H&E stain, 14 image tiles from a single gastric biopsy slide, 300 × 300 pixels each.
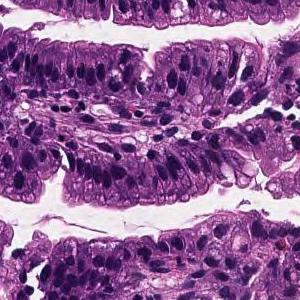
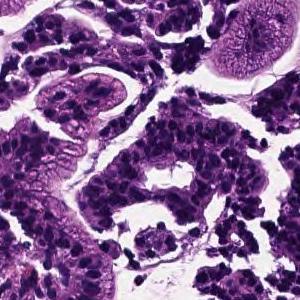
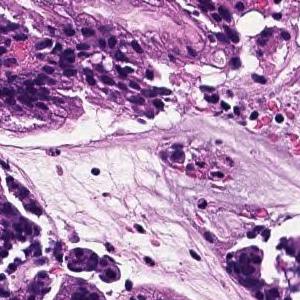
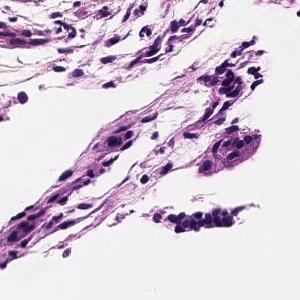
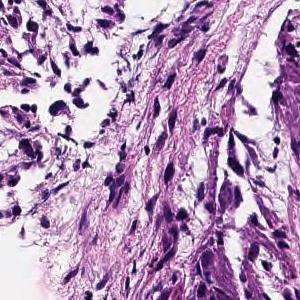
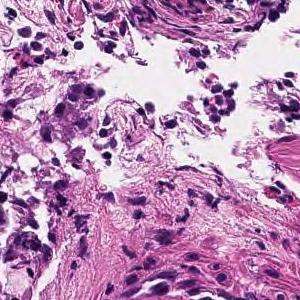
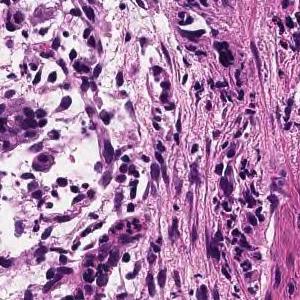
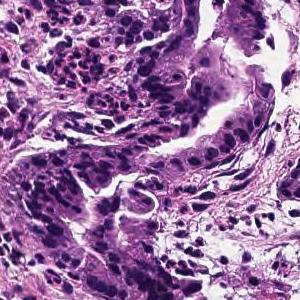
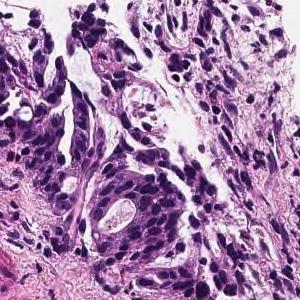
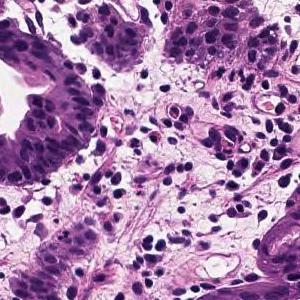
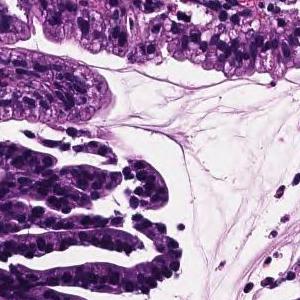
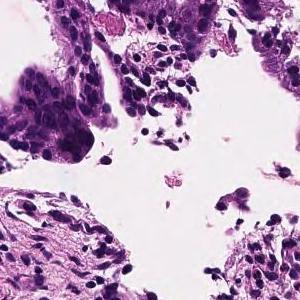
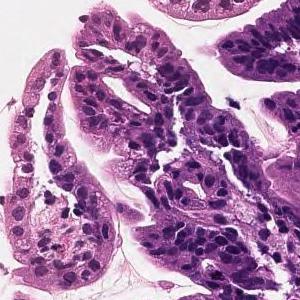
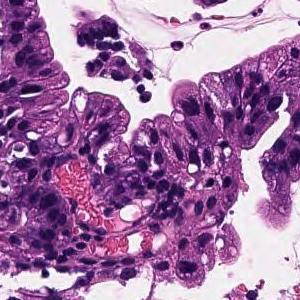
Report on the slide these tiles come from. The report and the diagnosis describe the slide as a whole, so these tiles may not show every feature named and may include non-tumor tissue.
On the superficial epithelium, tumor tissue that infiltrates by forming medium-sized papillary or small irregular ducts is observed. Papillary adenocarcinoma
